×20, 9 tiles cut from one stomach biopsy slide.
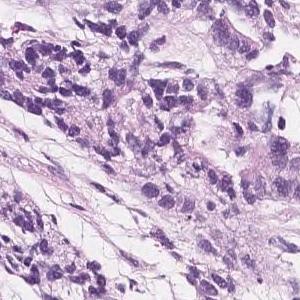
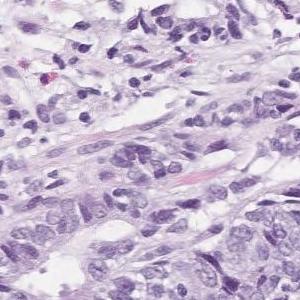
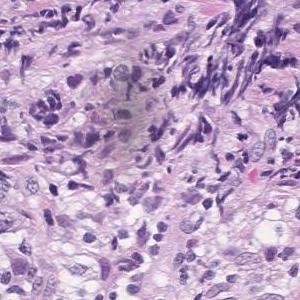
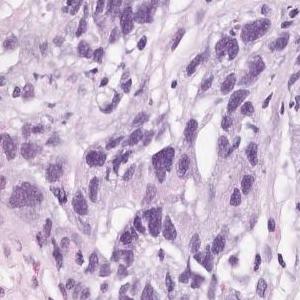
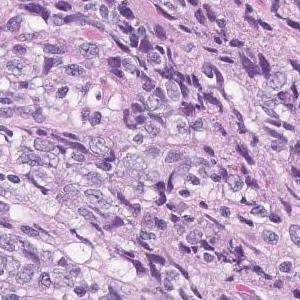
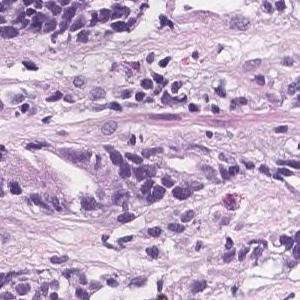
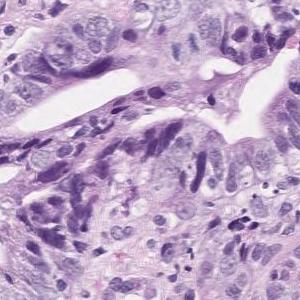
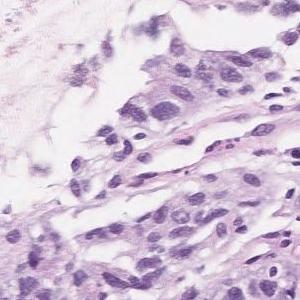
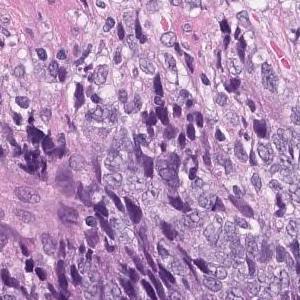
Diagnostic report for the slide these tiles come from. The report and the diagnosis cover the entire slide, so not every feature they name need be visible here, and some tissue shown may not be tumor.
Highly columnar epithelium with disordered nuclear localization proliferates showing fusion ductal construction. moderately differentiated tubular adenocarcinoma
